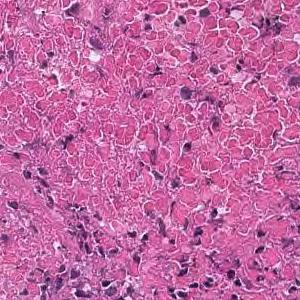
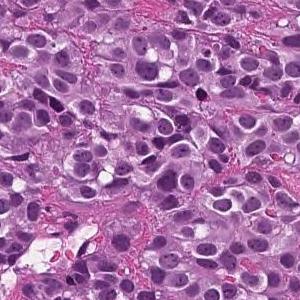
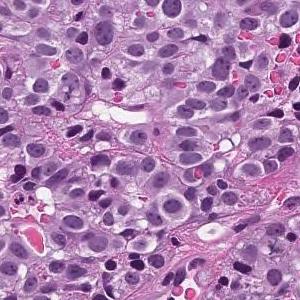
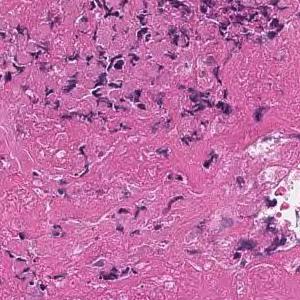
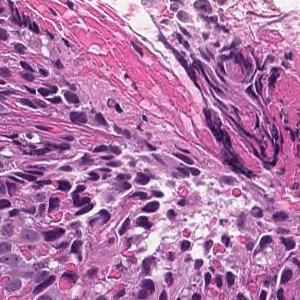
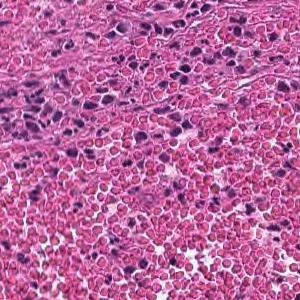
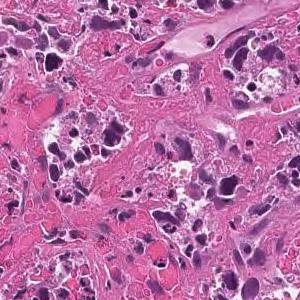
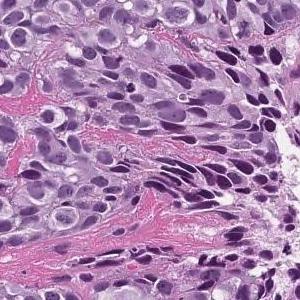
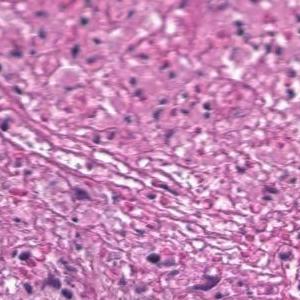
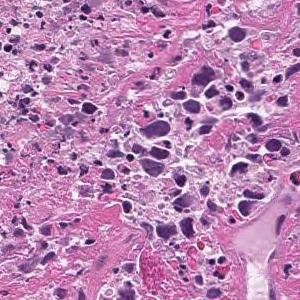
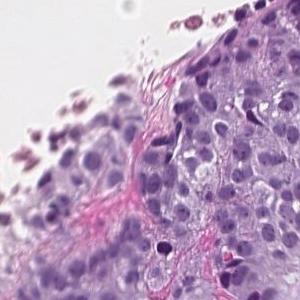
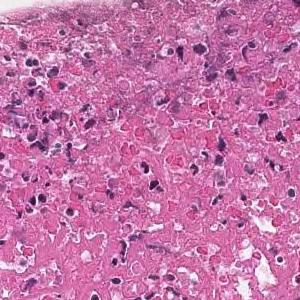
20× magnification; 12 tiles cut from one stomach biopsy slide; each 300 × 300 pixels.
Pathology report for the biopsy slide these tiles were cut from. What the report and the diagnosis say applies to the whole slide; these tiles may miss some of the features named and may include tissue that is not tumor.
The superficial epithelium shows a large sheet-like shape, and some tumor tissue infiltrates with small irregular ducts. Poorly differentiated adenocarcinoma, solid-type
Subtype: Poorly differentiated adenocarcinoma, solid type. This name comes from the Japanese Classification of Gastric Carcinoma; the WHO 2019 classification calls it tubular adenocarcinoma, poorly differentiated.
